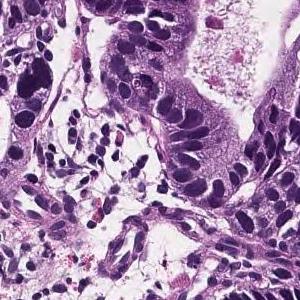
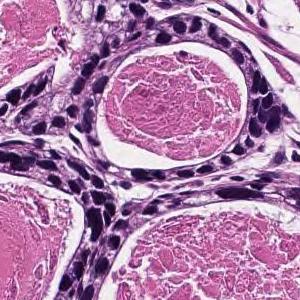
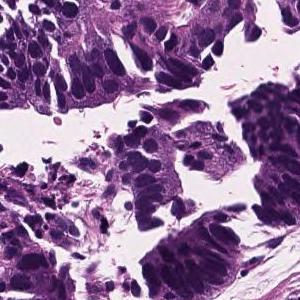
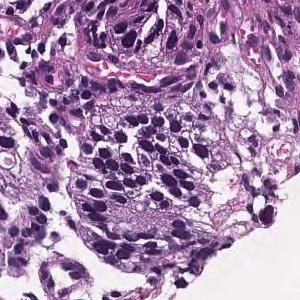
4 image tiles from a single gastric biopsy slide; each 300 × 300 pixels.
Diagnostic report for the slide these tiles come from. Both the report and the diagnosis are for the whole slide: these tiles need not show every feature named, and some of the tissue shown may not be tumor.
In the superficial epithelium, tumor tissue that invades by forming medium-sized to small, irregular ducts is observed. Well differentiated tubular adenocarcinoma.
